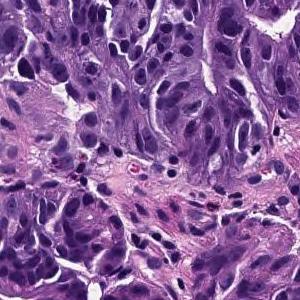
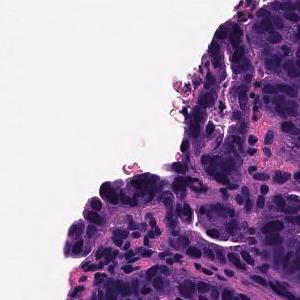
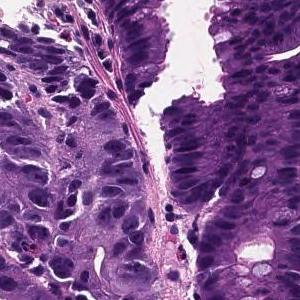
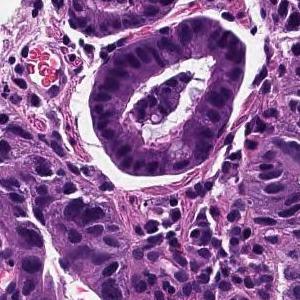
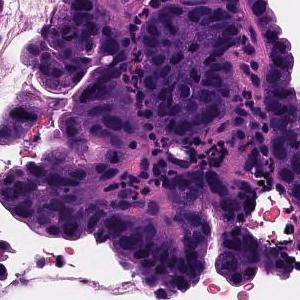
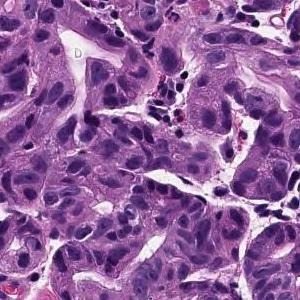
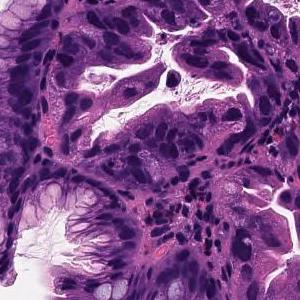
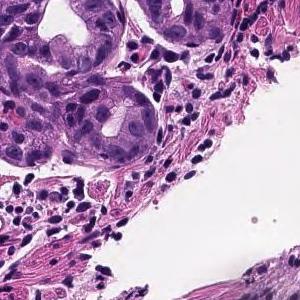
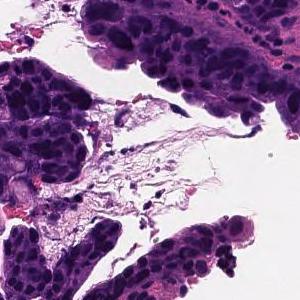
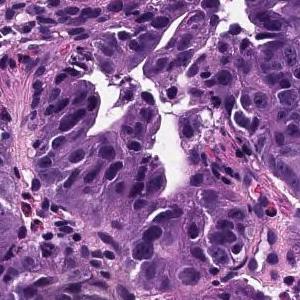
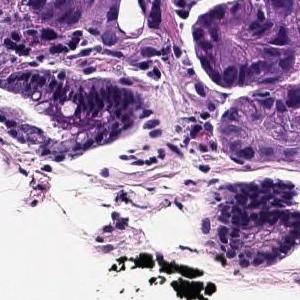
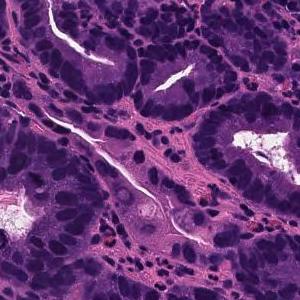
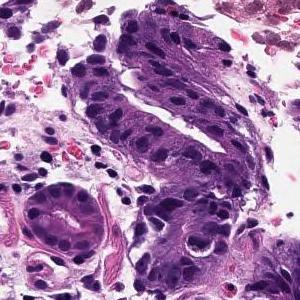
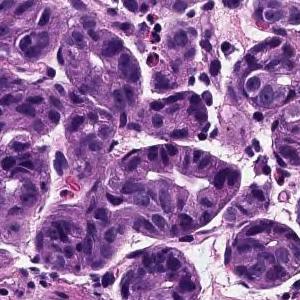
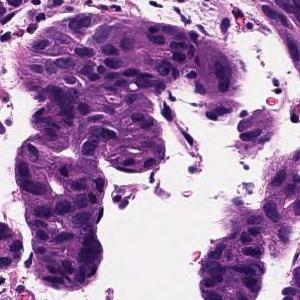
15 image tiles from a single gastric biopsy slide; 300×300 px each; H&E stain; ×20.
Report on the slide these tiles come from. The report describes the whole slide, diagnosis included: not every finding it names need appear in these tiles, which may also show non-tumor tissue.
On the superficial epithelium, tumor tissue consisting of large irregular glandular ducts partially fused and infiltrated is observed. Well to moderately differentiated tubular adenocarcinoma (well differentiated tubular adenocarcinoma, moderately differentiated tubular adenocarcinoma)
Histological subtype: Well to moderately differentiated tubular adenocarcinoma.
